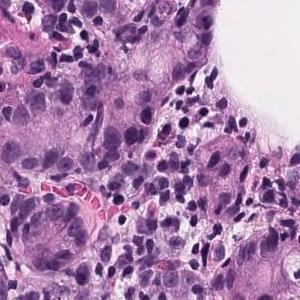
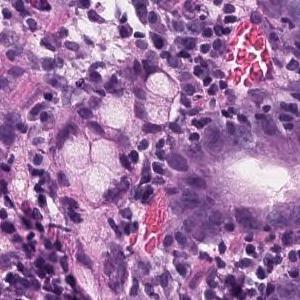
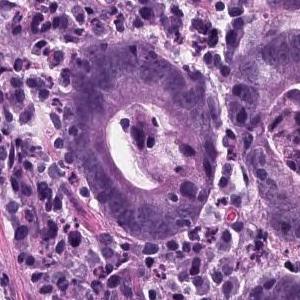
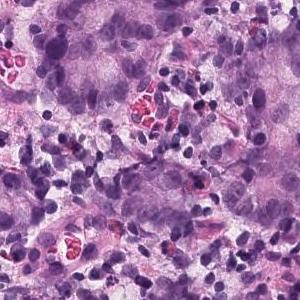
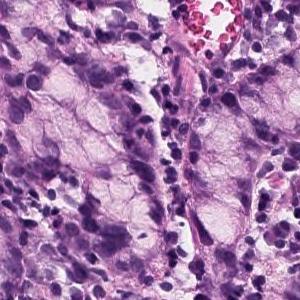
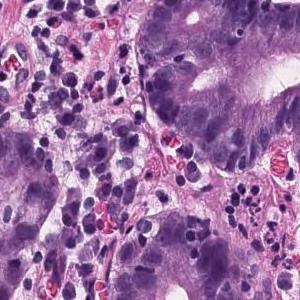
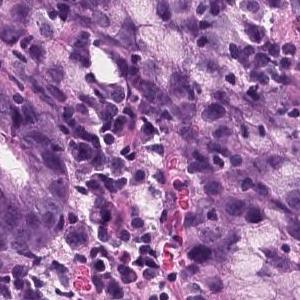
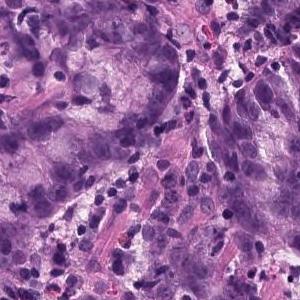
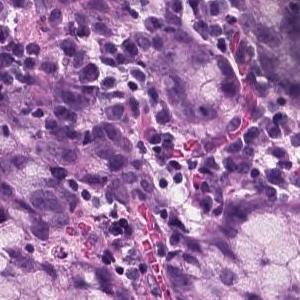
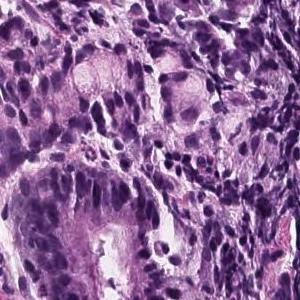
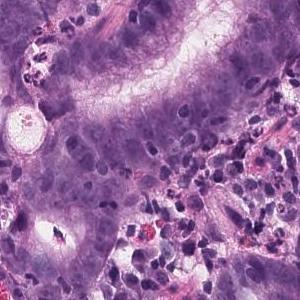
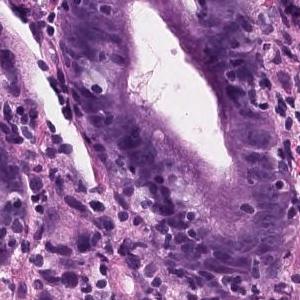
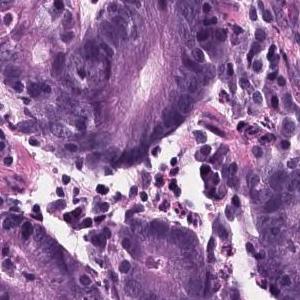
Scanned at ×20 · H&E stain · 13 image tiles from a single gastric biopsy slide.
Pathology report for the biopsy slide these tiles were cut from. Both the report and the diagnosis are for the whole slide: these tiles need not show every feature named, and some of the tissue shown may not be tumor.
In the superficial epithelium, tumor tissue that invades by forming medium-sized to small, irregular ducts is observed. Moderately differentiated adenocarcinoma.
Tumor subtype: moderately differentiated tubular adenocarcinoma.
